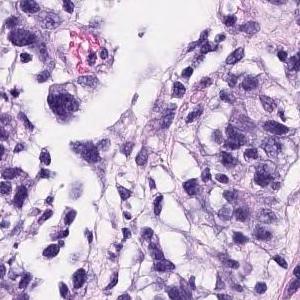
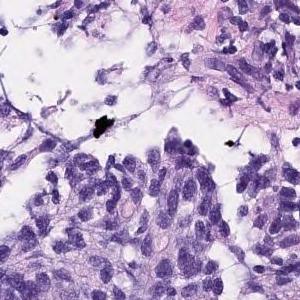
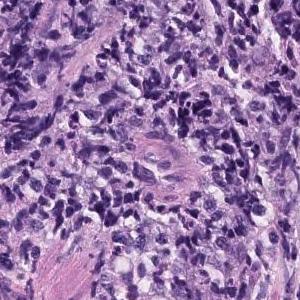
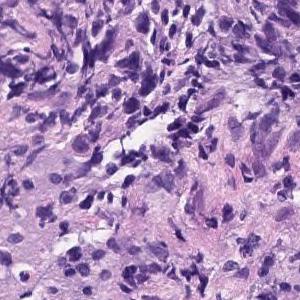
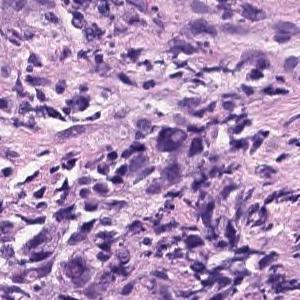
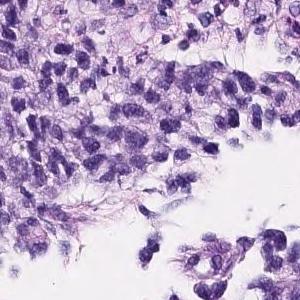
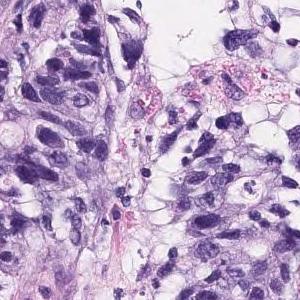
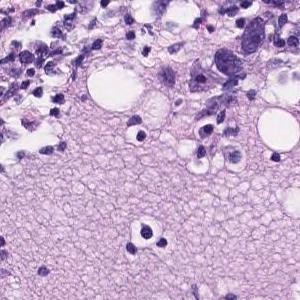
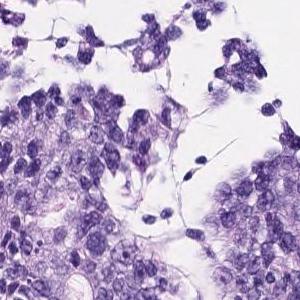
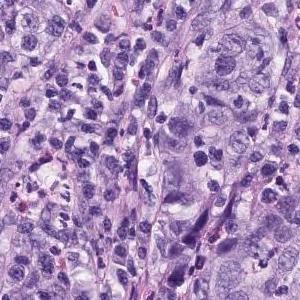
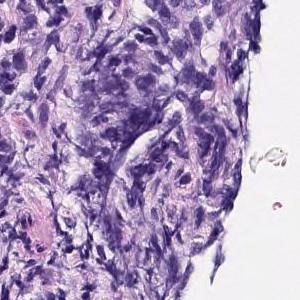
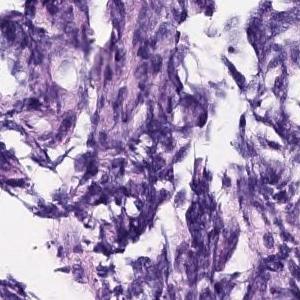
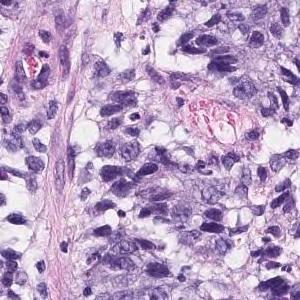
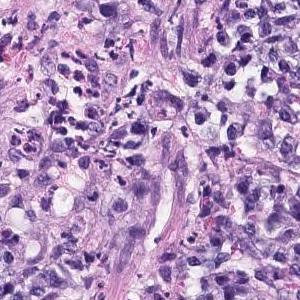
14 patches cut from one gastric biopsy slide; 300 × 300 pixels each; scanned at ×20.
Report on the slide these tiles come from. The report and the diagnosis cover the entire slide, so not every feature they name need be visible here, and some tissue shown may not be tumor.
The superficial epithelium shows a large sheet-like shape, and some tumor tissue infiltrates with small irregular ducts. Poorly differentiated adenocarcinoma, solid-type
Histologic type: Poorly differentiated adenocarcinoma, solid type (Japanese Classification of Gastric Carcinoma). The WHO 2019 equivalent is tubular adenocarcinoma, poorly differentiated.
